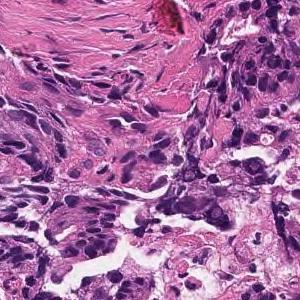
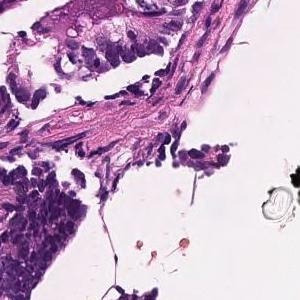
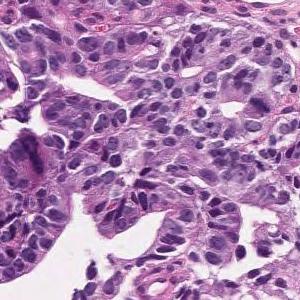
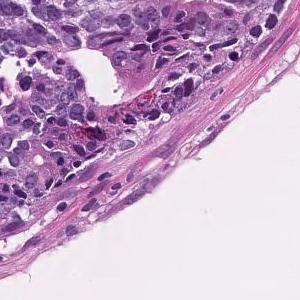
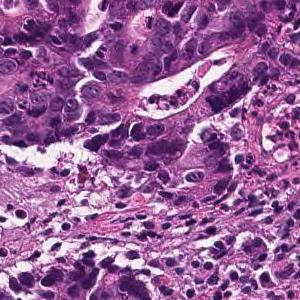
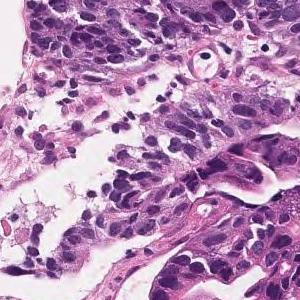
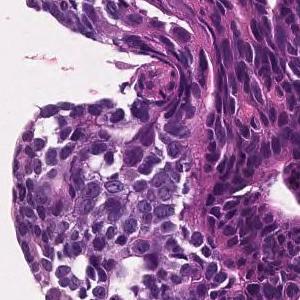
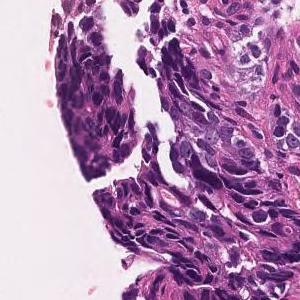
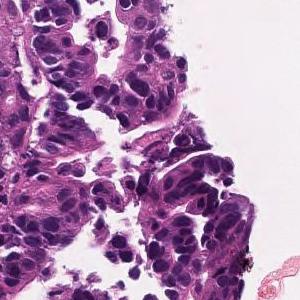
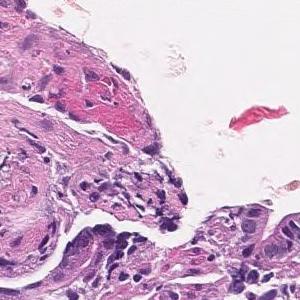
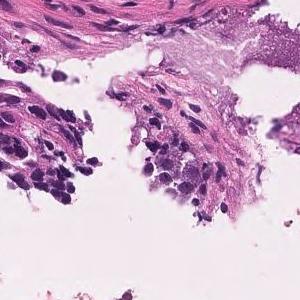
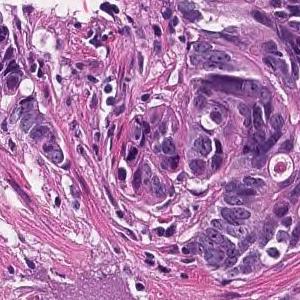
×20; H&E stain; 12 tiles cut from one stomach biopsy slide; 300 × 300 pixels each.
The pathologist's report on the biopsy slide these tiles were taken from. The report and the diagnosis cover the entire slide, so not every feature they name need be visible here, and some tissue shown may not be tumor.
In the superficial epithelium, tumor tissue that invades by forming medium-sized to small, irregular ducts is observed. moderately differentiated tubular adenocarcinoma.
